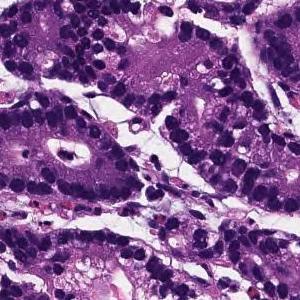
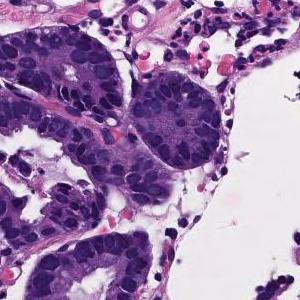
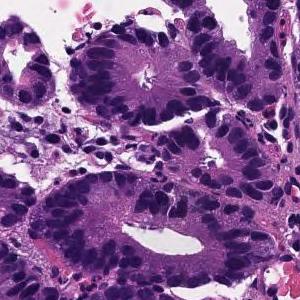
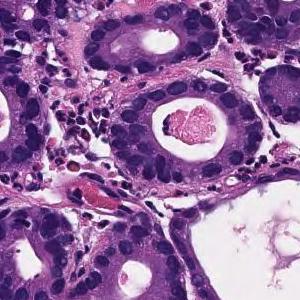
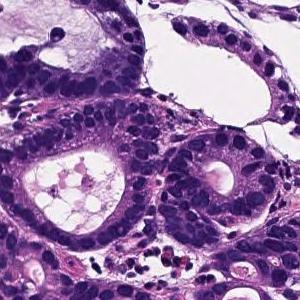
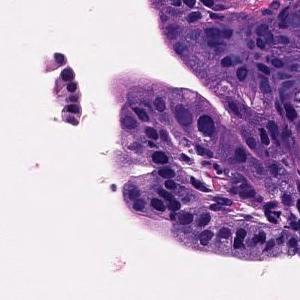
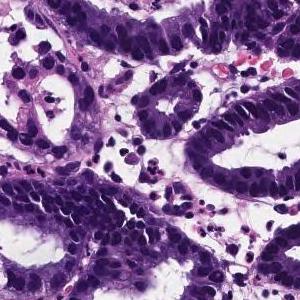
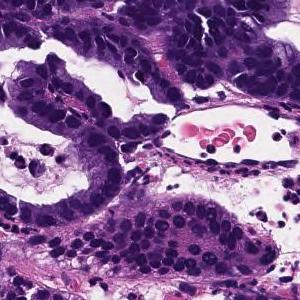
8 tiles from the same stomach biopsy slide, 300 × 300 pixels each, H&E, scanned at ×20.
Diagnostic report for the slide these tiles come from. The report and the diagnosis describe the slide as a whole, so these tiles may not show every feature named and may include non-tumor tissue.
From the superficial epithelium to the muscularis mucosae, tumor tissue consisting of medium-sized and irregular glandular ducts infiltrating is observed. Well differentiated tubular adenocarcinoma
